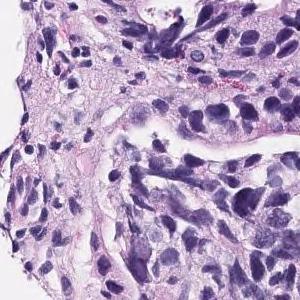
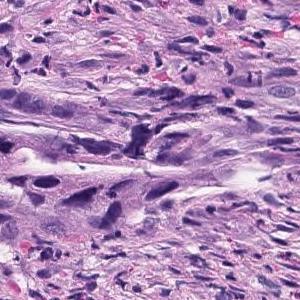
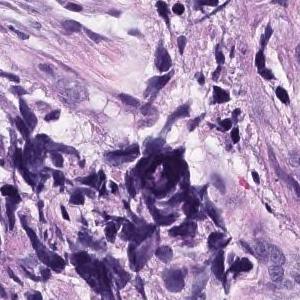
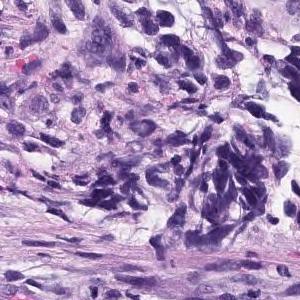
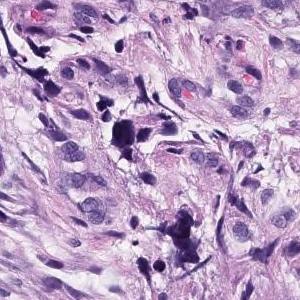
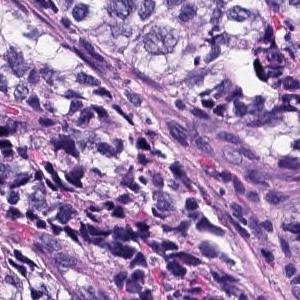
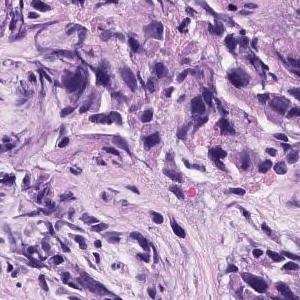
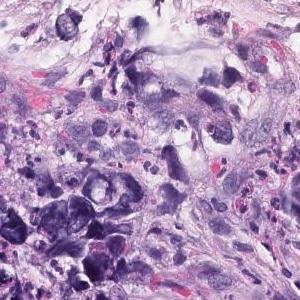
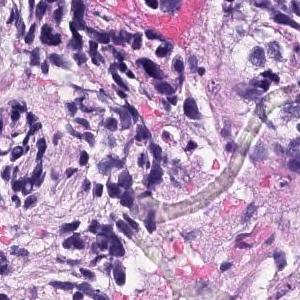
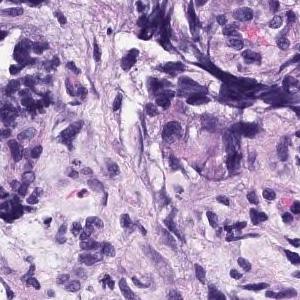
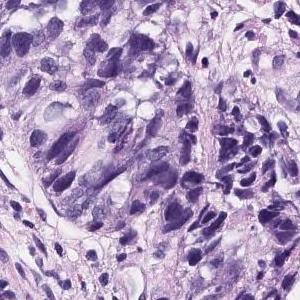
Hematoxylin and eosin stain; 11 tiles from the same stomach biopsy slide.
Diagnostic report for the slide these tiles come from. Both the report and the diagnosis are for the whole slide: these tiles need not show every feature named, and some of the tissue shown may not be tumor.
The superficial epithelium shows small cord-like infiltrating tumor tissue. Some part of neoplastic cells are signet ring cell type which show single invasion manner. Poorly differentiated adenocarcinoma, non-solid type.
The term "non-solid type" comes from the Japanese Classification of Gastric Carcinoma.
